12 patches cut from one gastric biopsy slide; 20× magnification; H&E stain.
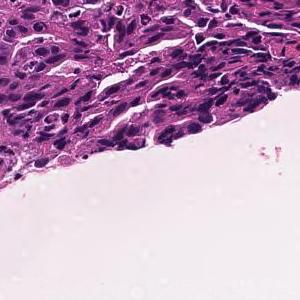
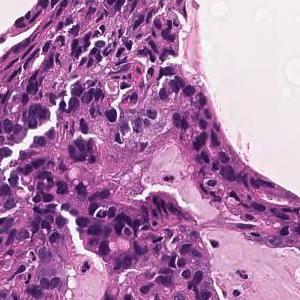
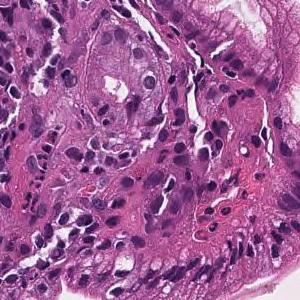
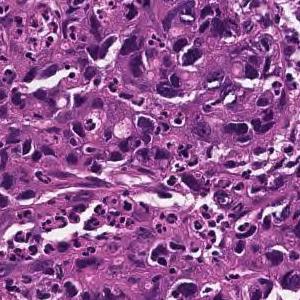
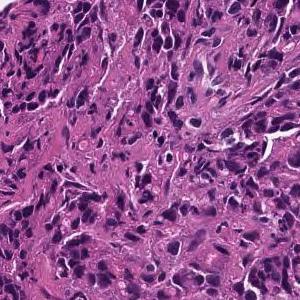
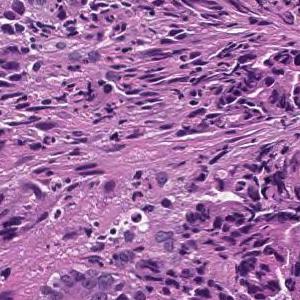
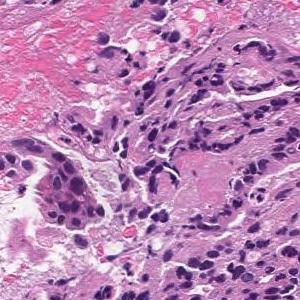
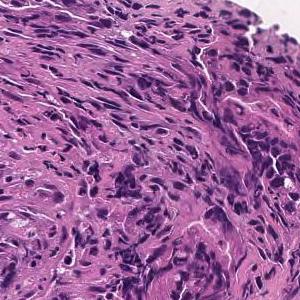
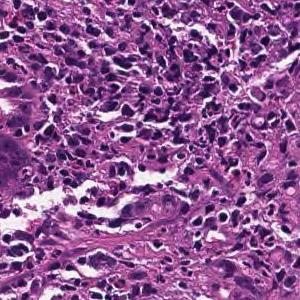
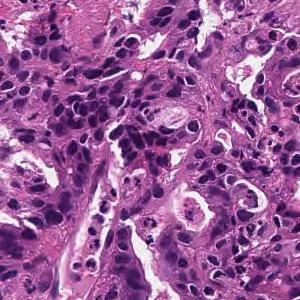
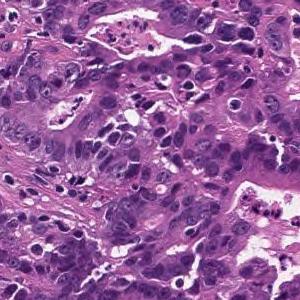
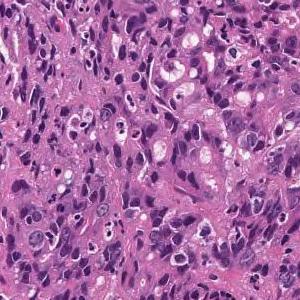
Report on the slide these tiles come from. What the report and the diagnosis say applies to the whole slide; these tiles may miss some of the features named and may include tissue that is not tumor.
In the superficial epithelium, tumor tissue that invades by forming medium-sized to small, irregular ducts is observed. moderately differentiated tubular adenocarcinoma.
